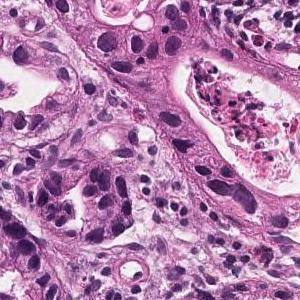
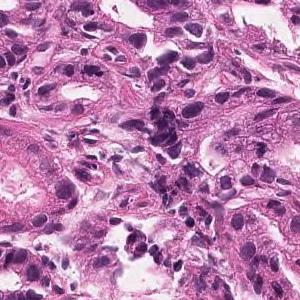
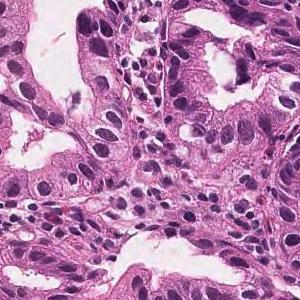
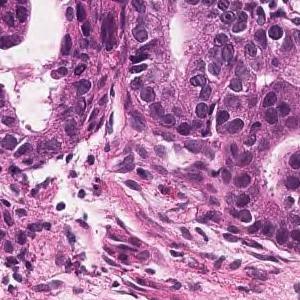
4 tiles from the same stomach biopsy slide · 300×300 px each · ×20 · hematoxylin and eosin stain.
The pathologist's report on the biopsy slide these tiles were taken from. The findings and the diagnosis refer to the entire slide; these tiles show only part of it, possibly with non-tumor tissue, and may not show every feature named.
Tumor tissue consisting of medium-sized and irregular ducts is observed infiltrating in the superficial epithelium. Tumor cells are highly columnar, with nuclei aligned basolaterally and polarized. Well differentiated tubular adenocarcinoma.
